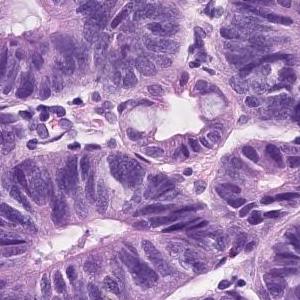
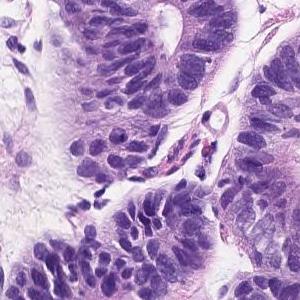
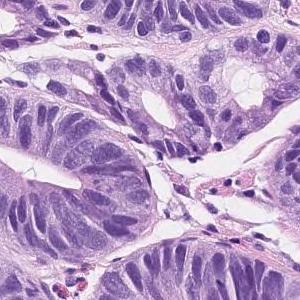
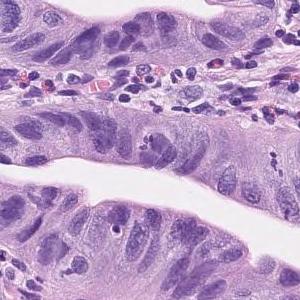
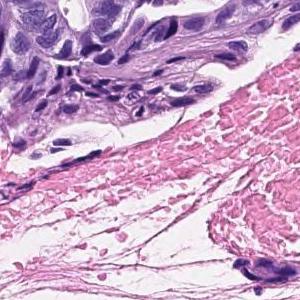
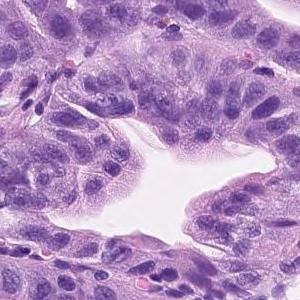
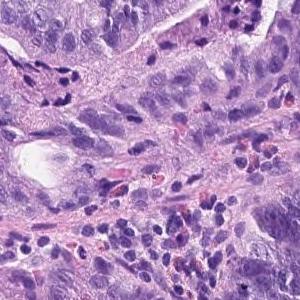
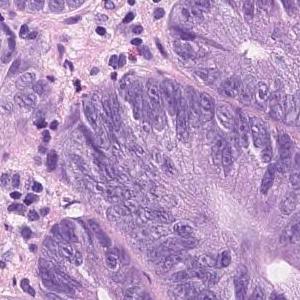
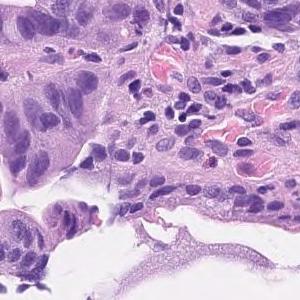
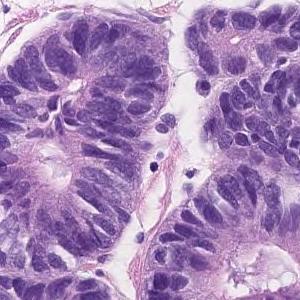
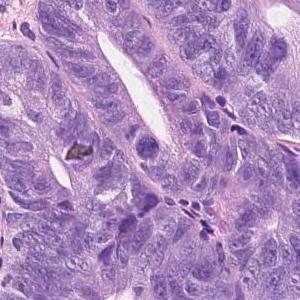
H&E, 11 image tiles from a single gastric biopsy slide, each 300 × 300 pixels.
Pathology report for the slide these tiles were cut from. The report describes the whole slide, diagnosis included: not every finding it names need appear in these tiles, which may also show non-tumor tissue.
Tumor tissue consisting of medium-sized and irregular ducts is observed infiltrating in the superficial epithelium. Tumor cells are highly columnar, with nuclei aligned basolaterally and polarized. Well differentiated tubular adenocarcinoma.
